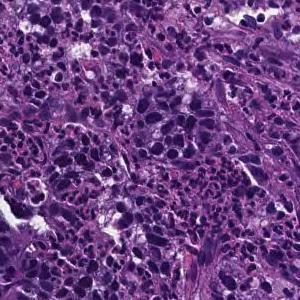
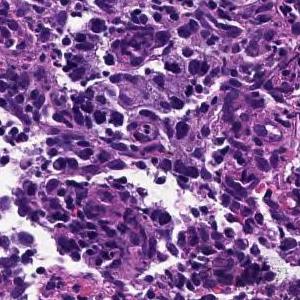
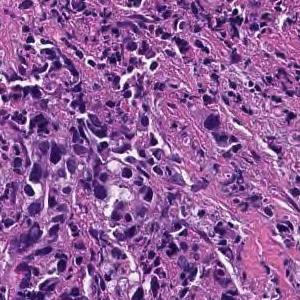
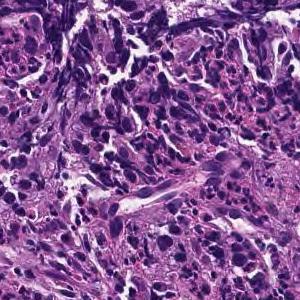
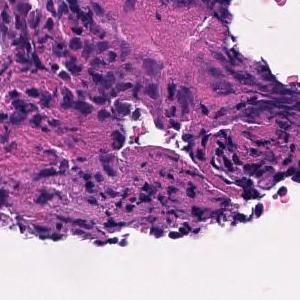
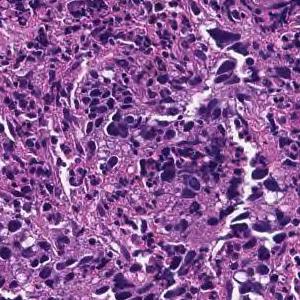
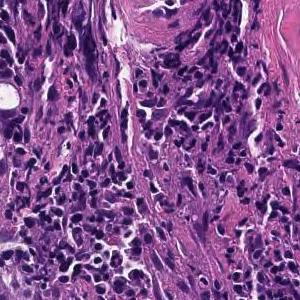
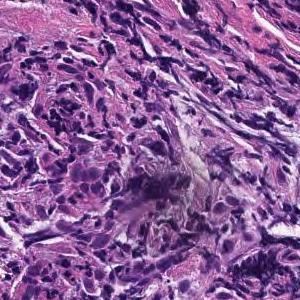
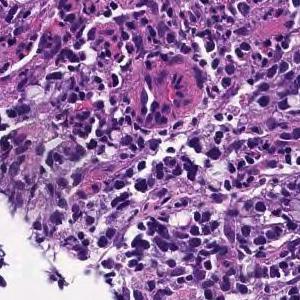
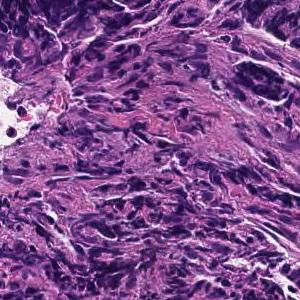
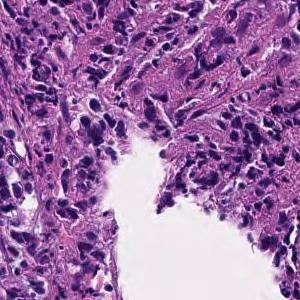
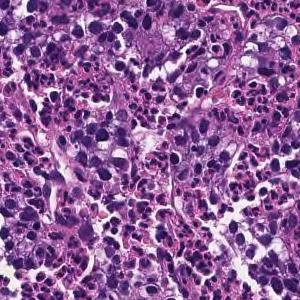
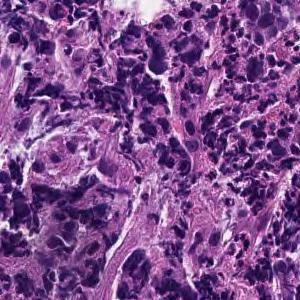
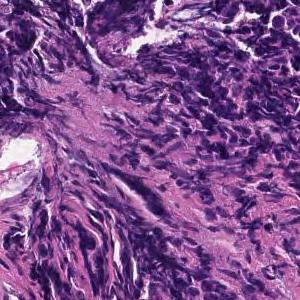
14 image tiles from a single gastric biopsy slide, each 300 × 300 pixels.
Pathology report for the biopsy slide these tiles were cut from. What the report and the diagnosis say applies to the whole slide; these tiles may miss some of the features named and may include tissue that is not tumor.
Tumor tissue consisting of cord-like or small, irregular glandular ducts fused and infiltrated is observed in the superficial epithelium. Poorly differentiated adenocarcinoma, non-solid type
"Non-solid type" is a category of the Japanese Classification of Gastric Carcinoma.
